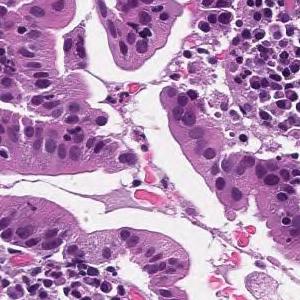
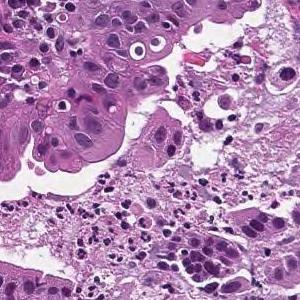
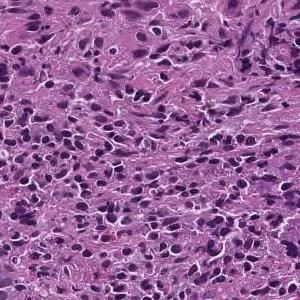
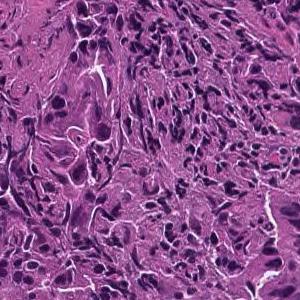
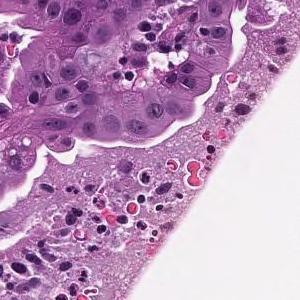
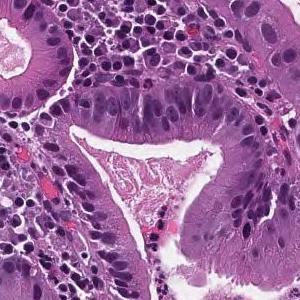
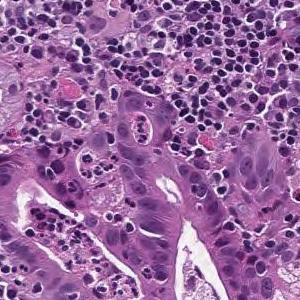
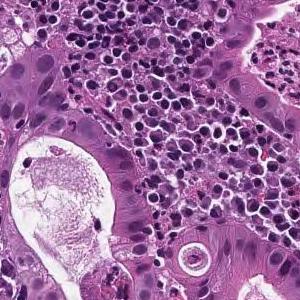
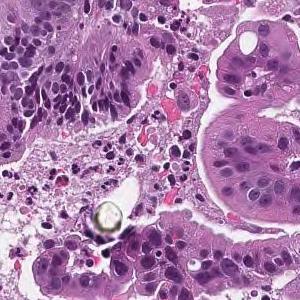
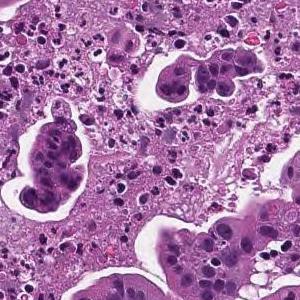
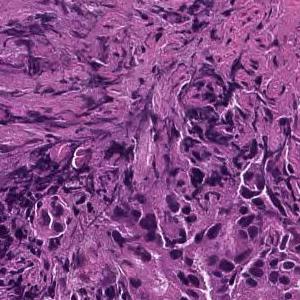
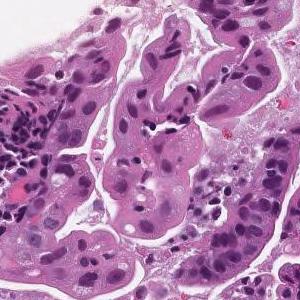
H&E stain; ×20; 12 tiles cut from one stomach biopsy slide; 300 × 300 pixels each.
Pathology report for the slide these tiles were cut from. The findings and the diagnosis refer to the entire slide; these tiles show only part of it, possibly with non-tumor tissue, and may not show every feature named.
From the superficial epithelium to the muscularis mucosae, tumor tissue consisting of medium-sized and irregular glandular ducts infiltrating is observed. Well differentiated tubular adenocarcinoma
